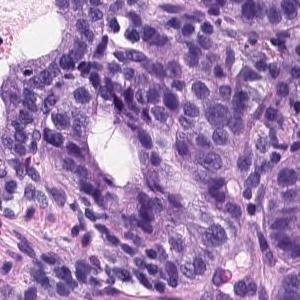
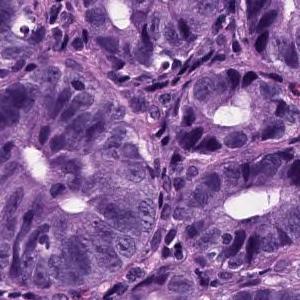
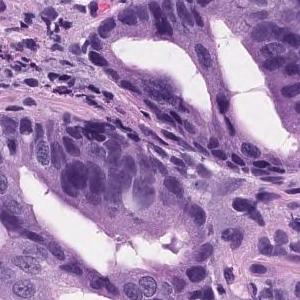
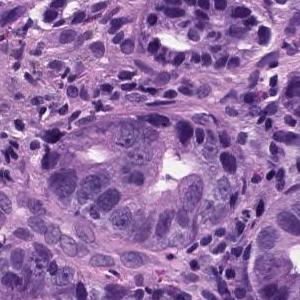
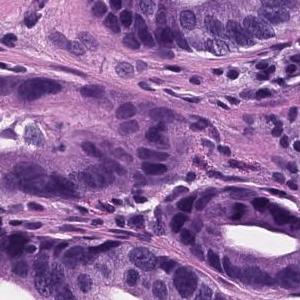
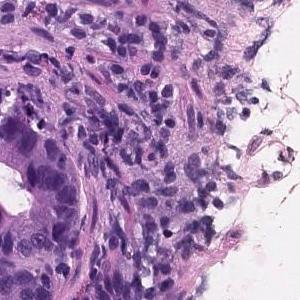
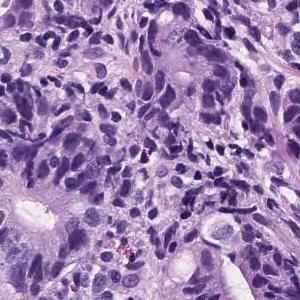
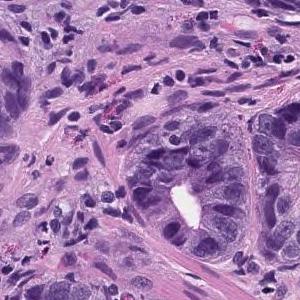
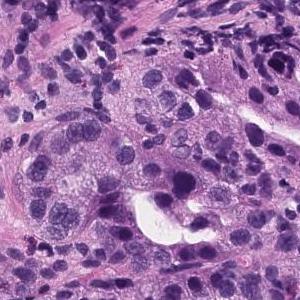
H&E; 20× magnification; 9 image tiles from a single gastric biopsy slide; each 300 × 300 pixels.
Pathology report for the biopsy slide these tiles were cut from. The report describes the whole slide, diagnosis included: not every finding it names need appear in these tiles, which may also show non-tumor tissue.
Tumor tissue consisting of medium-sized and irregular ducts is observed infiltrating in the superficial epithelium. Tumor cells are highly columnar, with nuclei aligned basolaterally and polarized. Well differentiated tubular adenocarcinoma.
